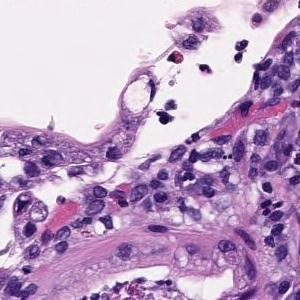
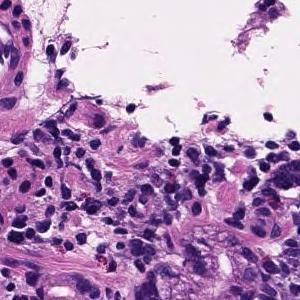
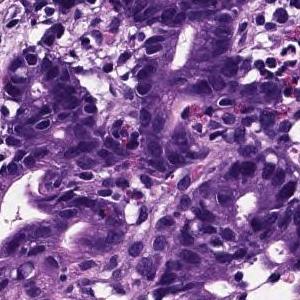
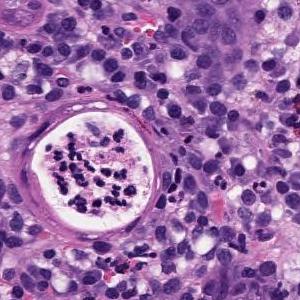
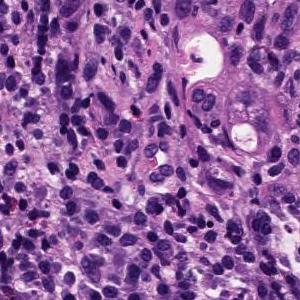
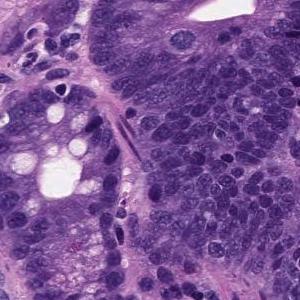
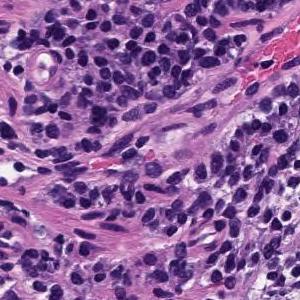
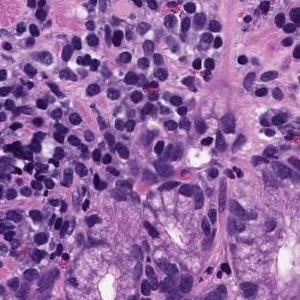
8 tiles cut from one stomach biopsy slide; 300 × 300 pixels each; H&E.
Pathology report for the slide these tiles were cut from. The report and the diagnosis cover the entire slide, so not every feature they name need be visible here, and some tissue shown may not be tumor.
Medium to small, irregular glandular ducts are formed in the superficial epithelium, and in some cases, the glandular ducts are fused to show solid alveolar lesions and infiltrating tumor tissue is observed. Moderately to poorly differentiated adenocarcinoma.
